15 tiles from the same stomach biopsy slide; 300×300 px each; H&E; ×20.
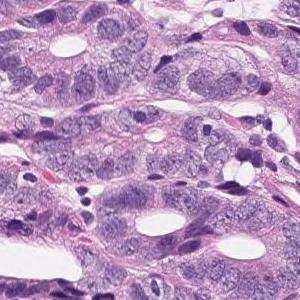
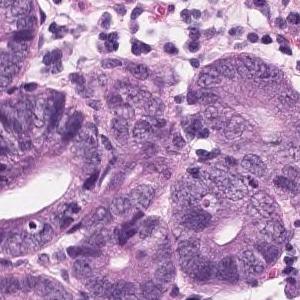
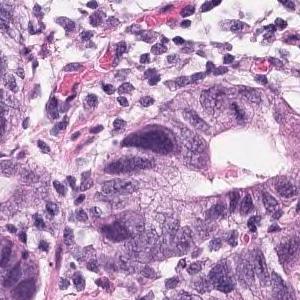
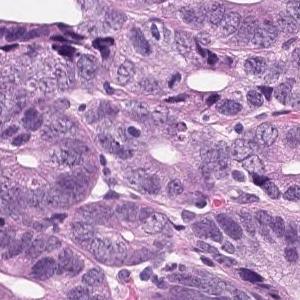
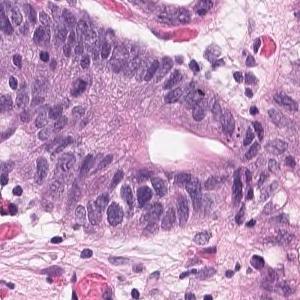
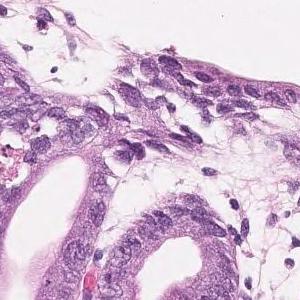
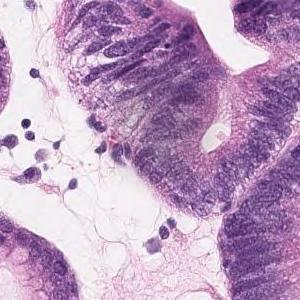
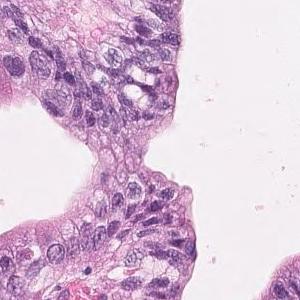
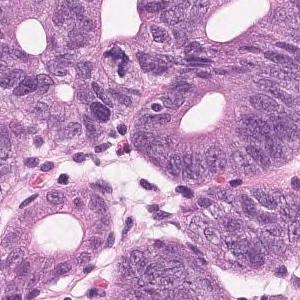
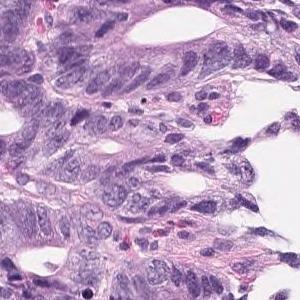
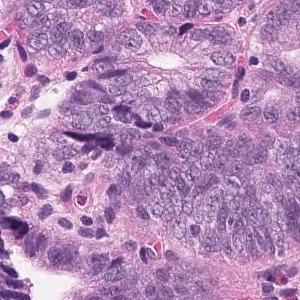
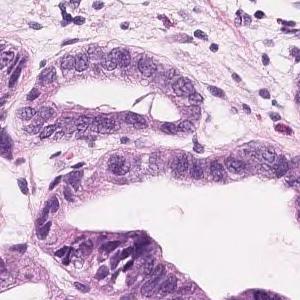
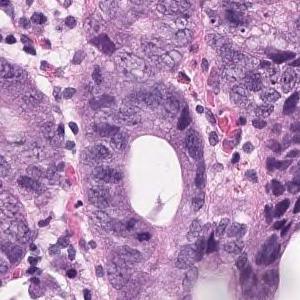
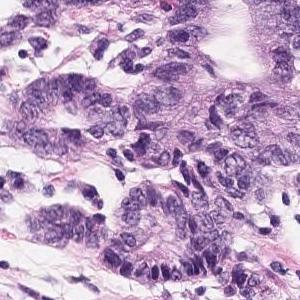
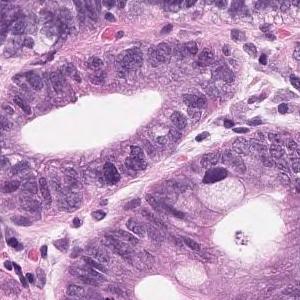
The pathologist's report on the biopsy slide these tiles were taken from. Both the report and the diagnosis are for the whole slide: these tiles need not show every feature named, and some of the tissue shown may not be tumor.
Atypical ducts with severe atypia are densely populated in the superficial epithelium, and tumor tissue with hyperplasia is observed. Well differentiated tubular adenocarcinoma
